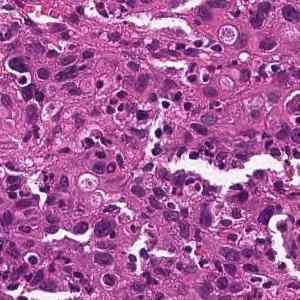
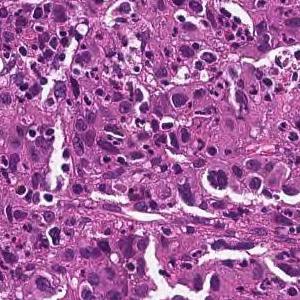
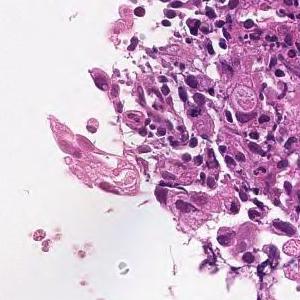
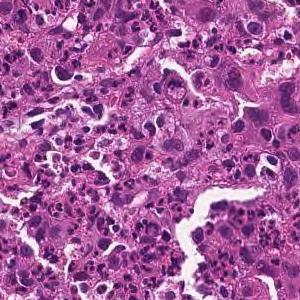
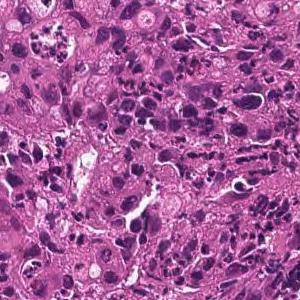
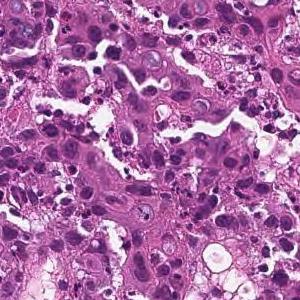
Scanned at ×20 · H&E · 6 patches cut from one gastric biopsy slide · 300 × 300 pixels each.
The pathologist's report on the biopsy slide these tiles were taken from. The report and the diagnosis cover the entire slide, so not every feature they name need be visible here, and some tissue shown may not be tumor.
The superficial epithelium shows a large sheet-like shape, and some tumor tissue infiltrates with small irregular ducts. Poorly differentiated adenocarcinoma, solid-type
Subtype: Poorly differentiated adenocarcinoma, solid type. This name comes from the Japanese Classification of Gastric Carcinoma; the WHO 2019 classification calls it tubular adenocarcinoma, poorly differentiated.
